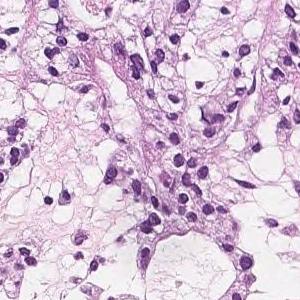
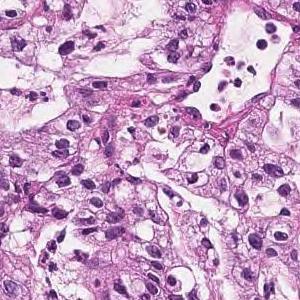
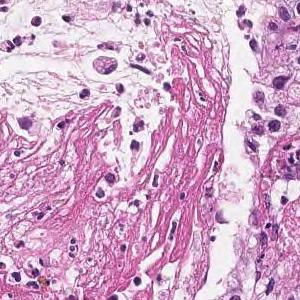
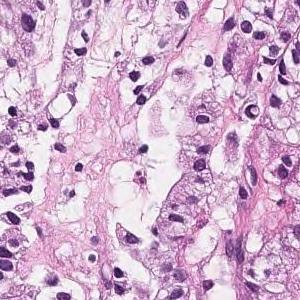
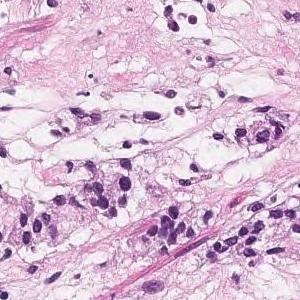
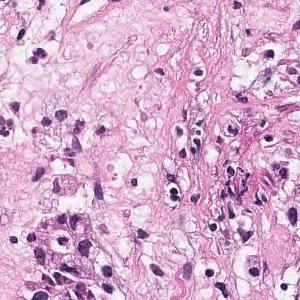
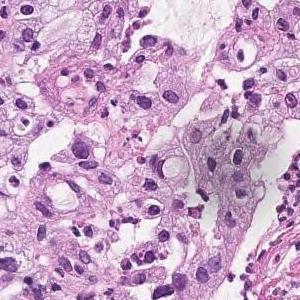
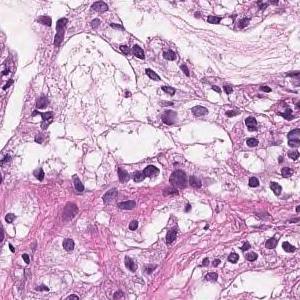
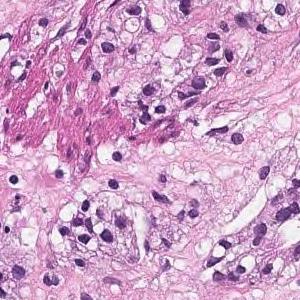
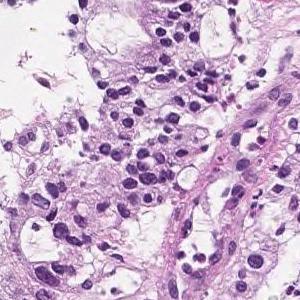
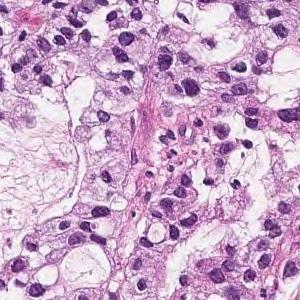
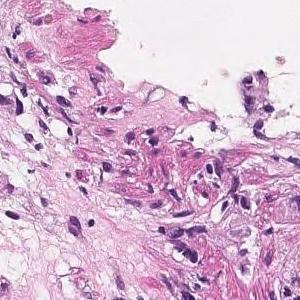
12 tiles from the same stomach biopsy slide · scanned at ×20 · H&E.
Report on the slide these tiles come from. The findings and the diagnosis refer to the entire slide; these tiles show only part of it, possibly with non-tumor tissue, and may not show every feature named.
In the superficial epithelium, tumor tissue that invades by forming medium-sized to small, irregular ducts is observed. moderately differentiated tubular adenocarcinoma.
